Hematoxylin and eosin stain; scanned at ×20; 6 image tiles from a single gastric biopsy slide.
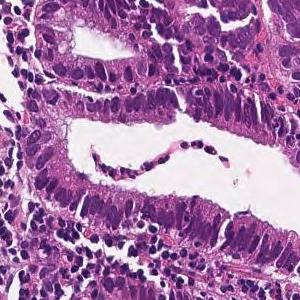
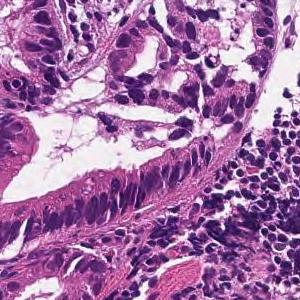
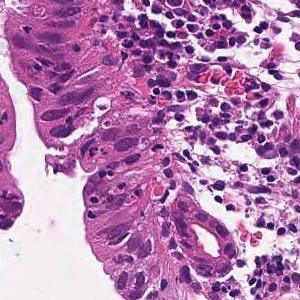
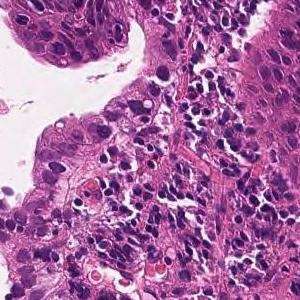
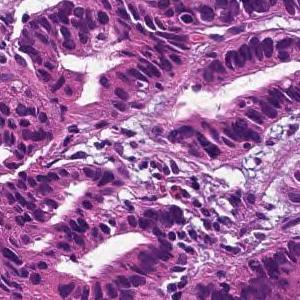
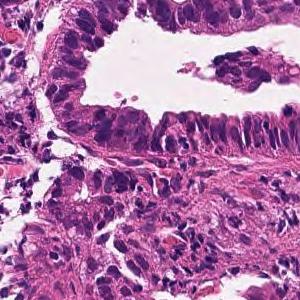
Pathology report for the biopsy slide these tiles were cut from. The report and the diagnosis describe the slide as a whole, so these tiles may not show every feature named and may include non-tumor tissue.
From the superficial epithelium to the muscularis mucosae, tumor tissue infiltrating by forming medium-sized irregular gland ducts is observed. Large tumor cells exhibit large nucleus and hyperchromatism. Well differentiated tubular adenocarcinoma
